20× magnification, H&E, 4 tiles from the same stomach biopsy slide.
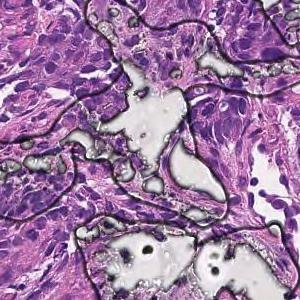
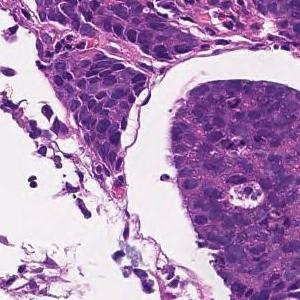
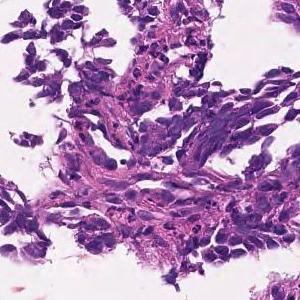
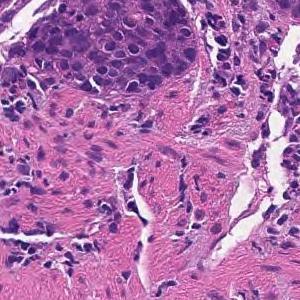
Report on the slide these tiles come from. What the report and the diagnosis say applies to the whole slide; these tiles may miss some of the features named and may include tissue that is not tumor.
Tumor tissue consisting of cord-like or small, irregular glandular ducts fused and infiltrated is observed in the superficial epithelium. Poorly differentiated adenocarcinoma, non-solid type
"Non-solid type" is a category of the Japanese Classification of Gastric Carcinoma.
